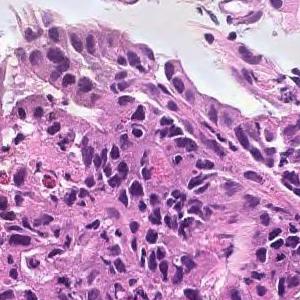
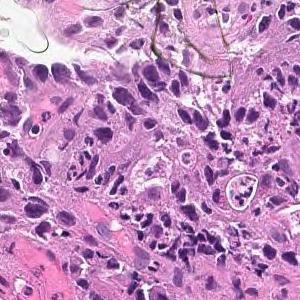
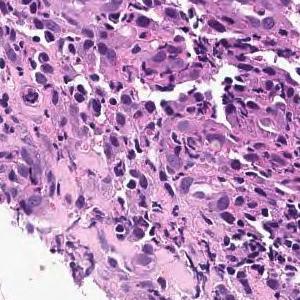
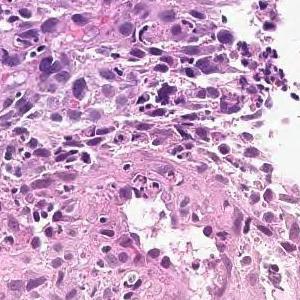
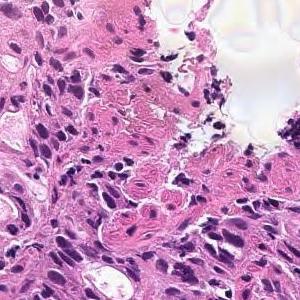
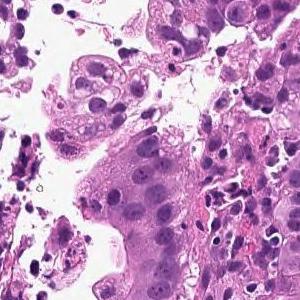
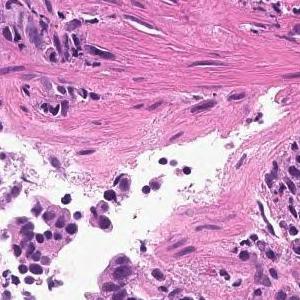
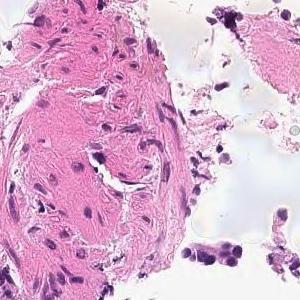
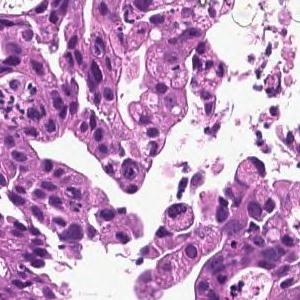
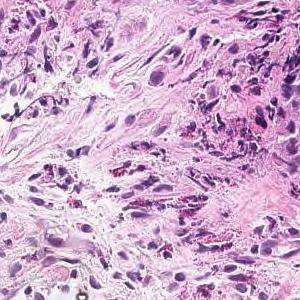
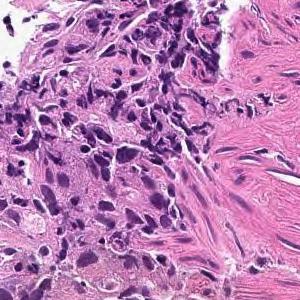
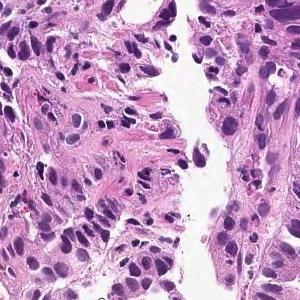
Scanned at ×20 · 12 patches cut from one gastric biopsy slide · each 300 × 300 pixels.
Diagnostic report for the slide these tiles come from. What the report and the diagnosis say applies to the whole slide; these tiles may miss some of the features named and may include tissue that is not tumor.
On the superficial epithelium, tumor tissue consisting of large irregular glandular ducts partially fused and infiltrated is observed. Well to moderately differentiated tubular adenocarcinoma (well differentiated tubular adenocarcinoma, moderately differentiated tubular adenocarcinoma)
Tumor subtype: well to moderately differentiated tubular adenocarcinoma.
